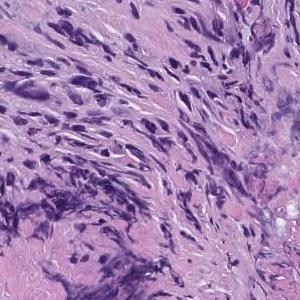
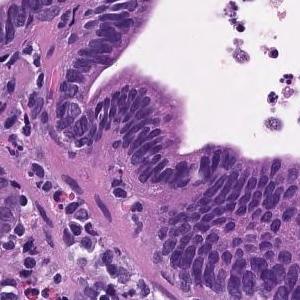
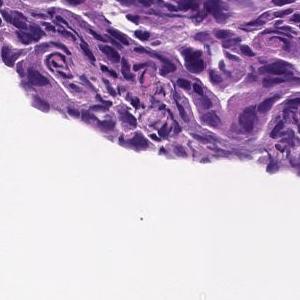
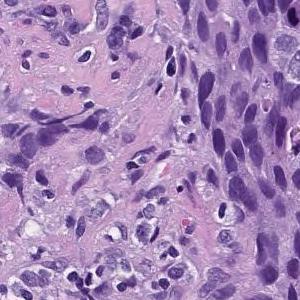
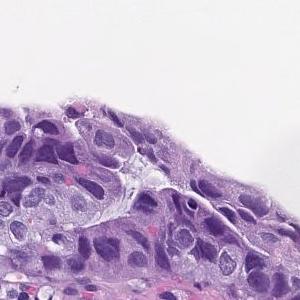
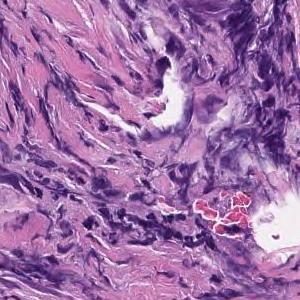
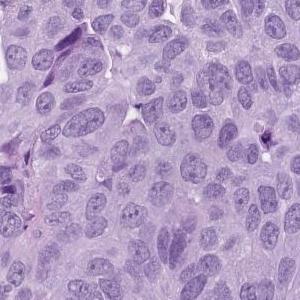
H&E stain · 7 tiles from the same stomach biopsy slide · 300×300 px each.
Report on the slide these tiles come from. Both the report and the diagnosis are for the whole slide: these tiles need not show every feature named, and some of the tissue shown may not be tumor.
In the superficial epithelium, tumor tissue that invades by forming medium-sized to small, irregular ducts is observed. moderately differentiated tubular adenocarcinoma.
